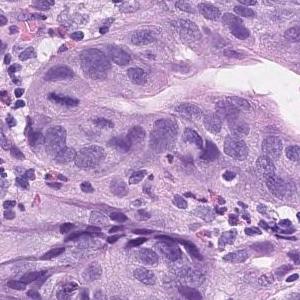
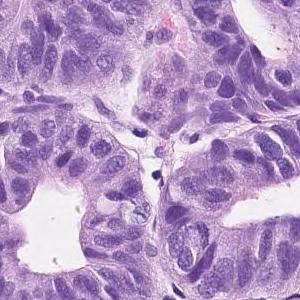
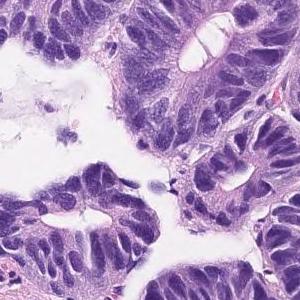
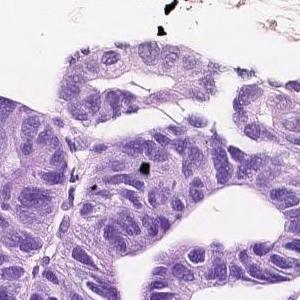
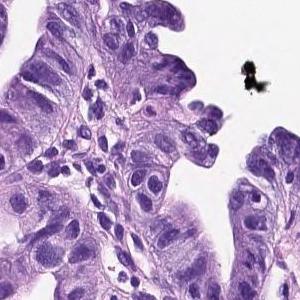
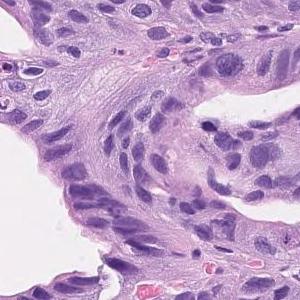
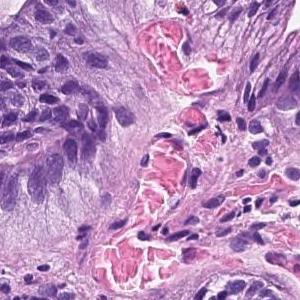
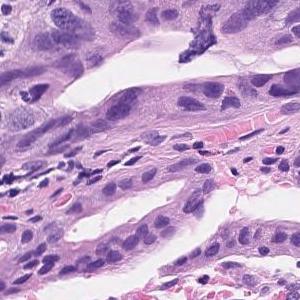
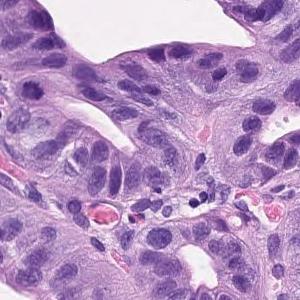
H&E stain · 9 patches cut from one gastric biopsy slide · 300×300 px each.
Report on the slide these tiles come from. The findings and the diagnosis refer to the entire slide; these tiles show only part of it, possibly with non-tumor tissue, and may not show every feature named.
Tumor tissue consisting of medium-sized and irregular ducts is observed infiltrating in the superficial epithelium. Tumor cells are highly columnar, with nuclei aligned basolaterally and polarized. Well differentiated tubular adenocarcinoma.
